4 tiles cut from one stomach biopsy slide; 20× magnification.
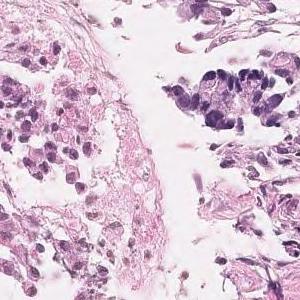
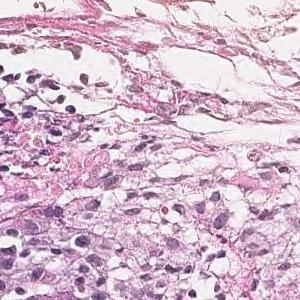
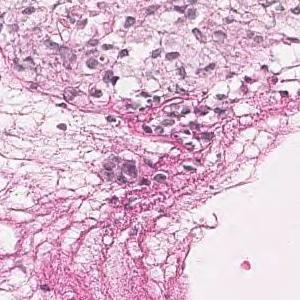
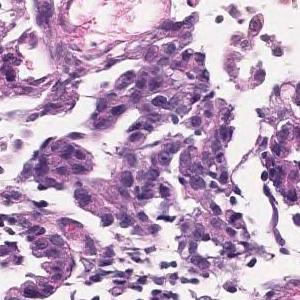
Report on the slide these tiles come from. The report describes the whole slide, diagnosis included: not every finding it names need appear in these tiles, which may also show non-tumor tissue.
In the superficial epithelium, tumor tissue that invades by forming medium-sized to small, irregular ducts is observed. moderately differentiated tubular adenocarcinoma.
